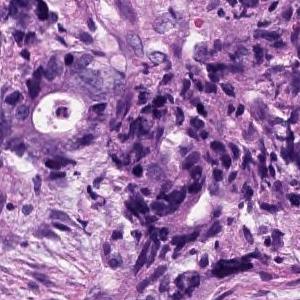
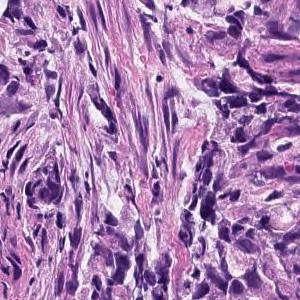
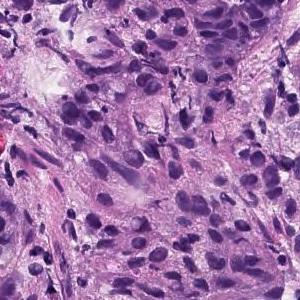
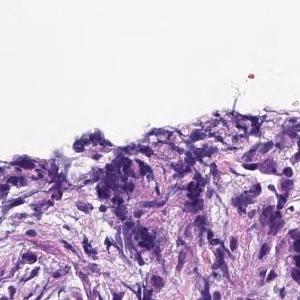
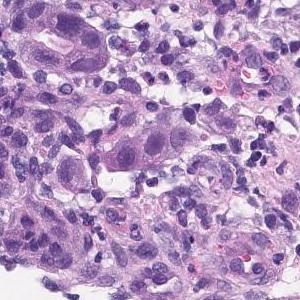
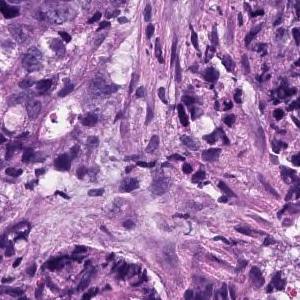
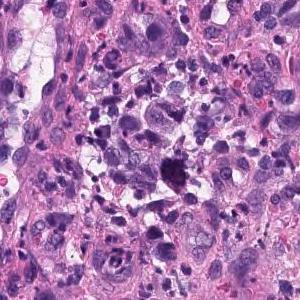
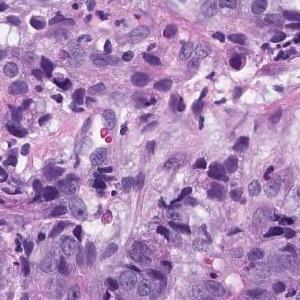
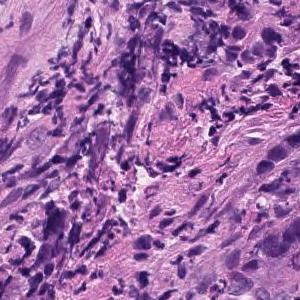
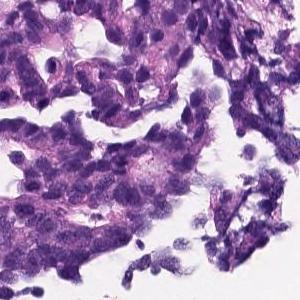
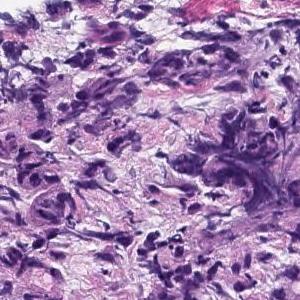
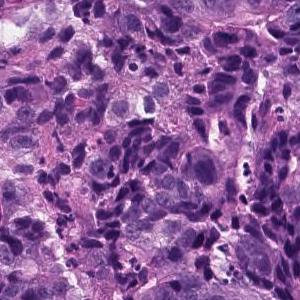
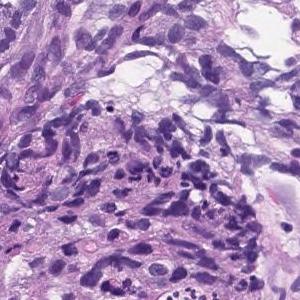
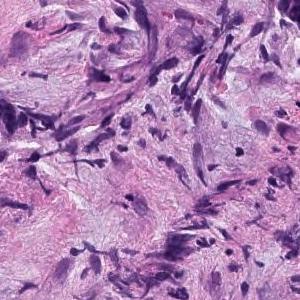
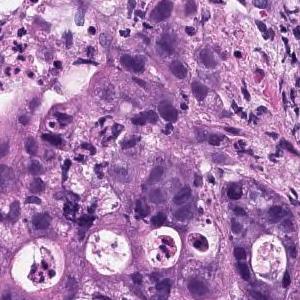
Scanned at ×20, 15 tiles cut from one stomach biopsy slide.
Pathology report for the slide these tiles were cut from. The findings and the diagnosis refer to the entire slide; these tiles show only part of it, possibly with non-tumor tissue, and may not show every feature named.
Medium to small, irregular glandular ducts are formed in the superficial epithelium, and in some cases, the glandular ducts are fused to show solid alveolar lesions and infiltrating tumor tissue is observed. Moderately to poorly differentiated adenocarcinoma.
